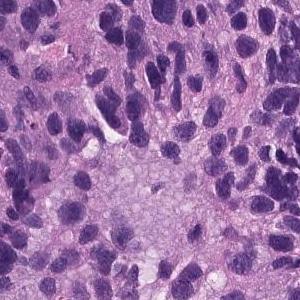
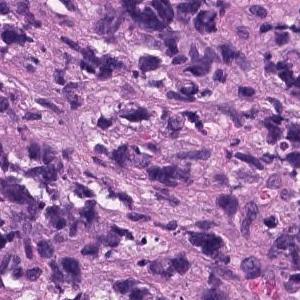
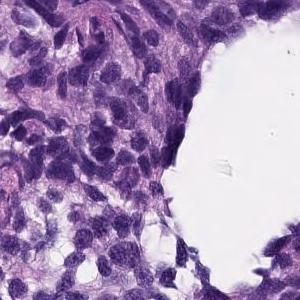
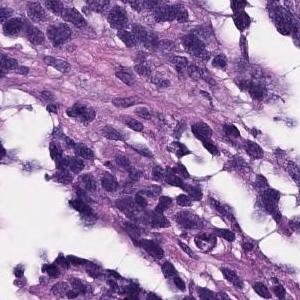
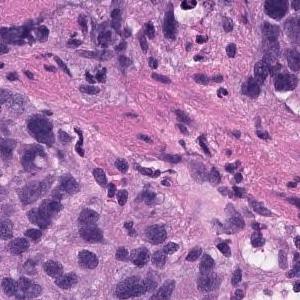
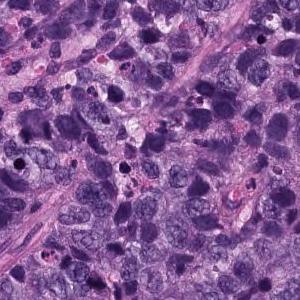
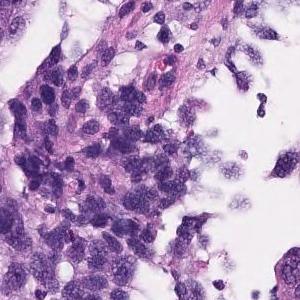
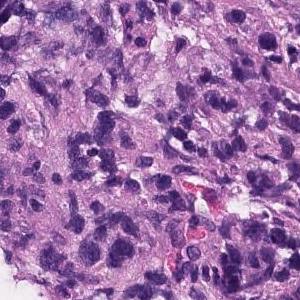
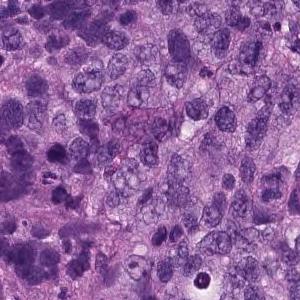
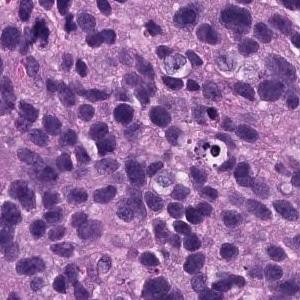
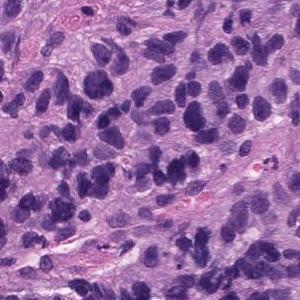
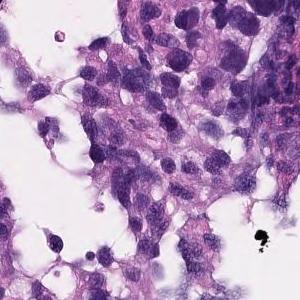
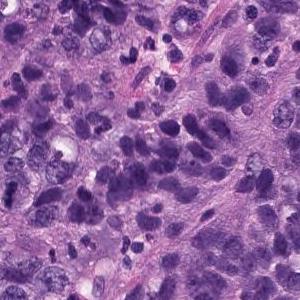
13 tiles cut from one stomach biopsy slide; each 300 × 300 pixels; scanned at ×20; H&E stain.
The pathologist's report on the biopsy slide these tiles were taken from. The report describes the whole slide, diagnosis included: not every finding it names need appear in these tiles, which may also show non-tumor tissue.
Atypical l cells with atypical nuclei under the mucosa growing in isolation and scattered. Poorly differentiated adenocarcinoma (poorly differentiated adenocarcinoma, non-solid type)
Tumor subtype: poorly differentiated adenocarcinoma, non-solid type.
The term "non-solid type" comes from the Japanese Classification of Gastric Carcinoma.
